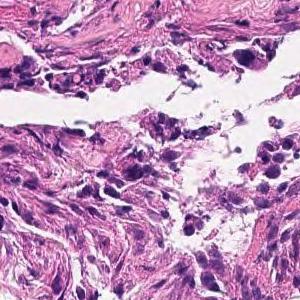
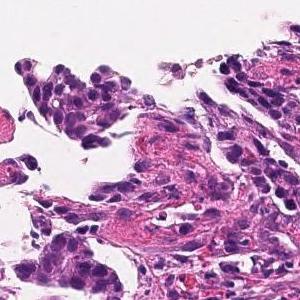
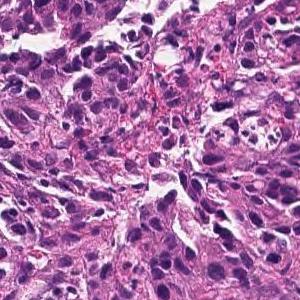
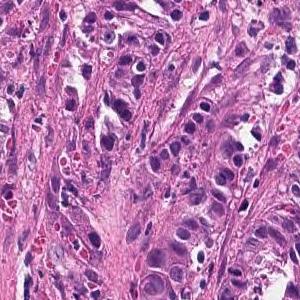
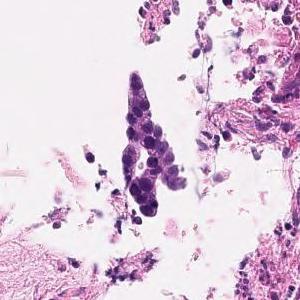
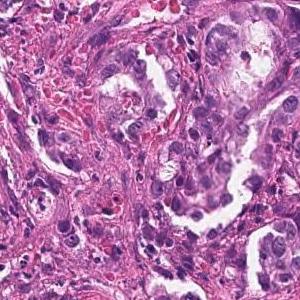
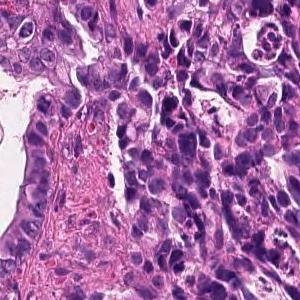
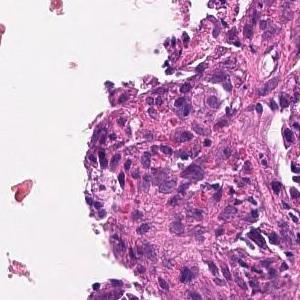
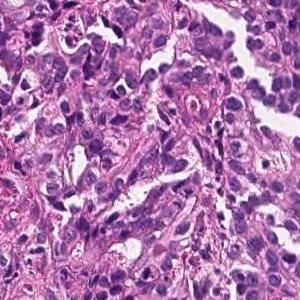
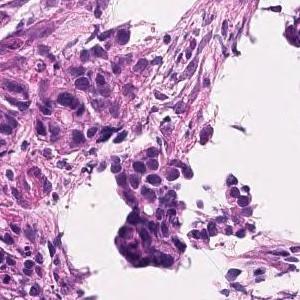
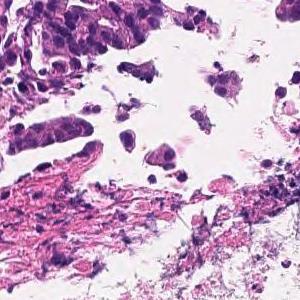
11 image tiles from a single gastric biopsy slide · H&E.
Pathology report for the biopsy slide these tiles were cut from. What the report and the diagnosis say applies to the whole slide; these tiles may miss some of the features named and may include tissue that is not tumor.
On the superficial epithelium, tumor tissue consisting of images of small to medium-sized and irregular tubules infiltrating with irregular fusion is observed. moderately differentiated tubular adenocarcinoma
